5 image tiles from a single gastric biopsy slide; ×20.
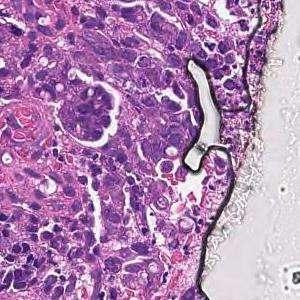
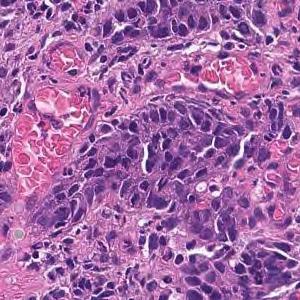
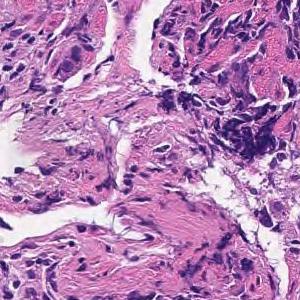
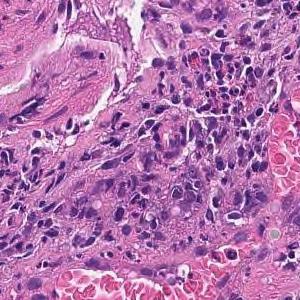
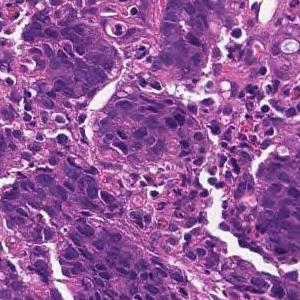
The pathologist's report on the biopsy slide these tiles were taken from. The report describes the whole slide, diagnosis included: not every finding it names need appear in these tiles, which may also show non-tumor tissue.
Tumor tissue consisting of cord-like or small, irregular glandular ducts fused and infiltrated is observed in the superficial epithelium. Poorly differentiated adenocarcinoma, non-solid type
The term "non-solid type" comes from the Japanese Classification of Gastric Carcinoma.
